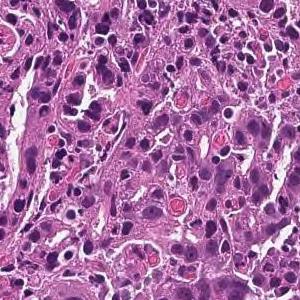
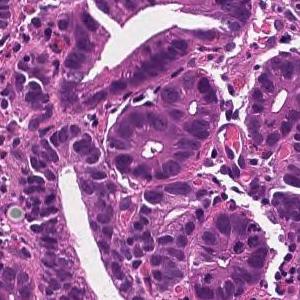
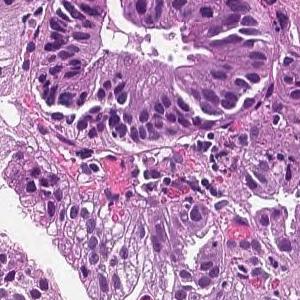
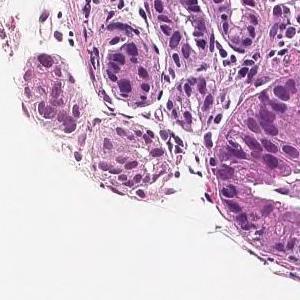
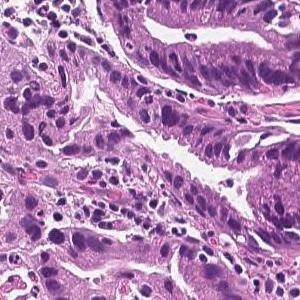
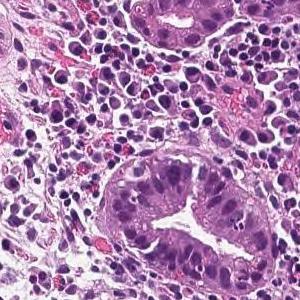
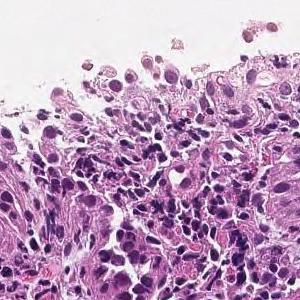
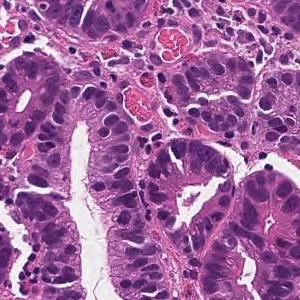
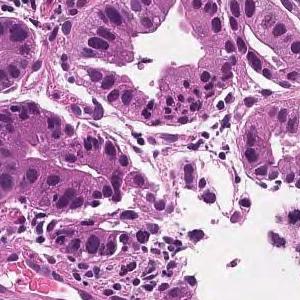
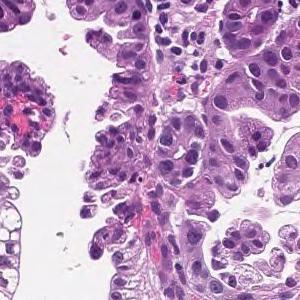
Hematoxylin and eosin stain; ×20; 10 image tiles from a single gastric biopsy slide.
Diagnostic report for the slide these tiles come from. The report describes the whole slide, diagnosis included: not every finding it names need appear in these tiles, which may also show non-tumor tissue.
On the superficial epithelium, tumor tissue consisting of large irregular glandular ducts partially fused and infiltrated is observed. Well to moderately differentiated tubular adenocarcinoma (well differentiated tubular adenocarcinoma, moderately differentiated tubular adenocarcinoma)
Histologic type: Well to moderately differentiated tubular adenocarcinoma.
